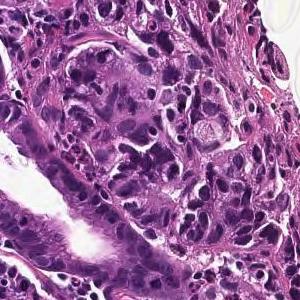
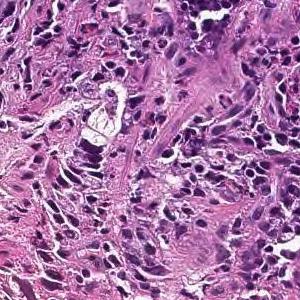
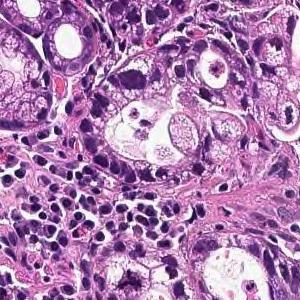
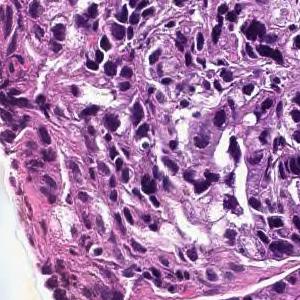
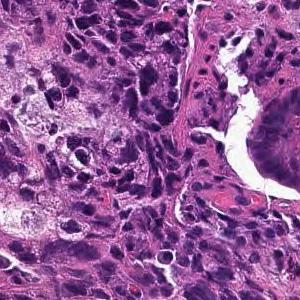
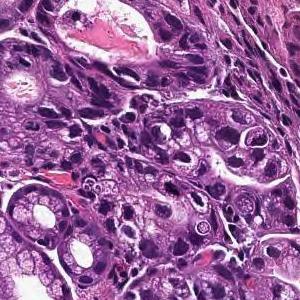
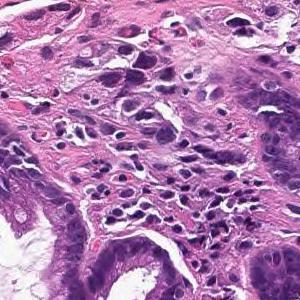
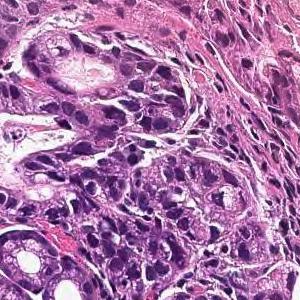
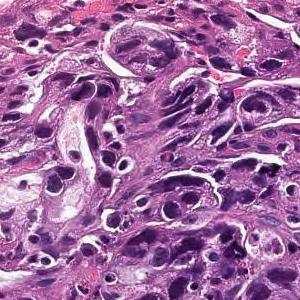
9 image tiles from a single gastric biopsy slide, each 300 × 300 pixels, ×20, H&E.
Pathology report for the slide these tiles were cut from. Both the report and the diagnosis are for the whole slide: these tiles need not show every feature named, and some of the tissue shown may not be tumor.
In the superficial epithelium, tumor tissue that invades by forming medium-sized to small, irregular ducts is observed. moderately differentiated tubular adenocarcinoma.
